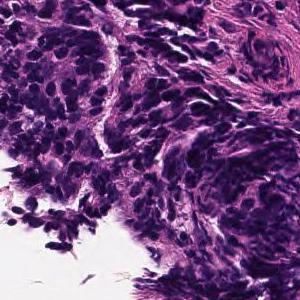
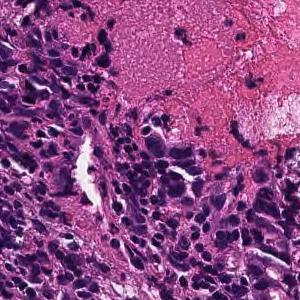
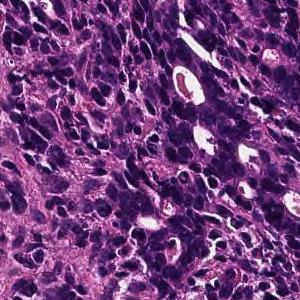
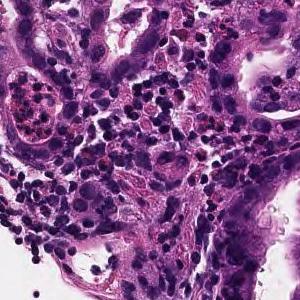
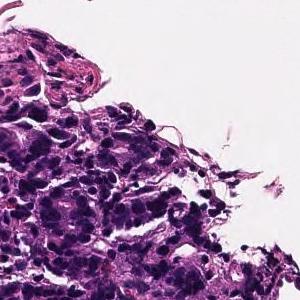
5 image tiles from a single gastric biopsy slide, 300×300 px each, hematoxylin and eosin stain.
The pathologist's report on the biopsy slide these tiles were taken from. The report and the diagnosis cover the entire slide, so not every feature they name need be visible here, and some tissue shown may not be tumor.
On the superficial epithelium, tumor tissue is found in which medium-sized irregular gland ducts fuse with each other and infiltrate. moderately differentiated tubular adenocarcinoma or Poorly differentiated adenocarcinoma, non-solid type
Classified as moderately to poorly differentiated adenocarcinoma.
The term "non-solid type" comes from the Japanese Classification of Gastric Carcinoma.
